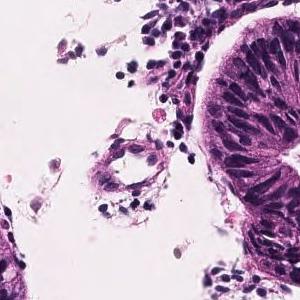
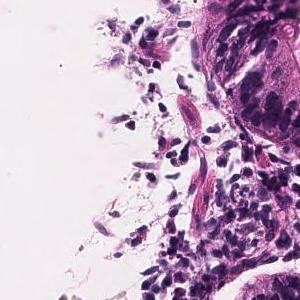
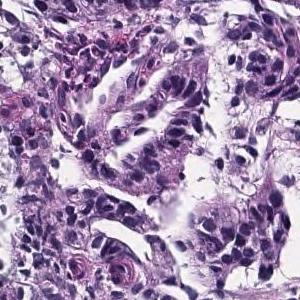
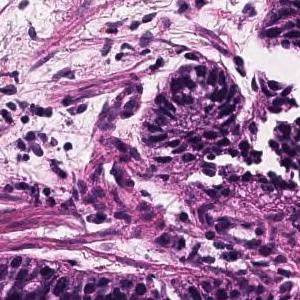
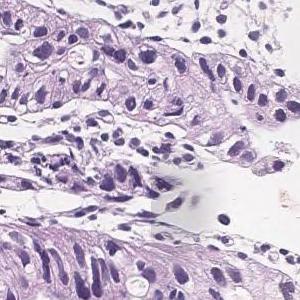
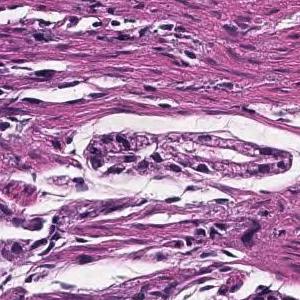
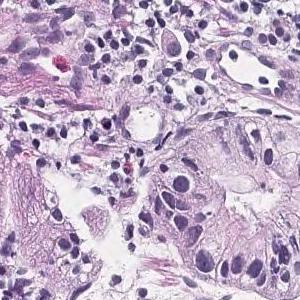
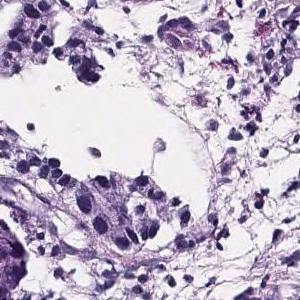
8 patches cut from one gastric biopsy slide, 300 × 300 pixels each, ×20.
The pathologist's report on the biopsy slide these tiles were taken from. Both the report and the diagnosis are for the whole slide: these tiles need not show every feature named, and some of the tissue shown may not be tumor.
Tumor cells are large, highly columnar, large club-shaped nuclei, and are associated with chromatin aggregation. Papillary adenocarcinoma.
